Scanned at ×20, hematoxylin and eosin stain, 6 tiles cut from one stomach biopsy slide.
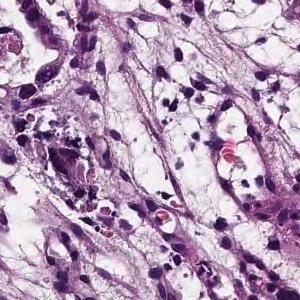
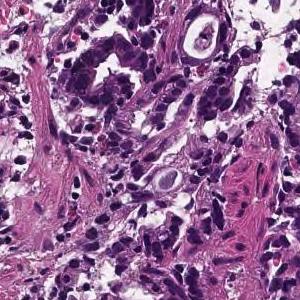
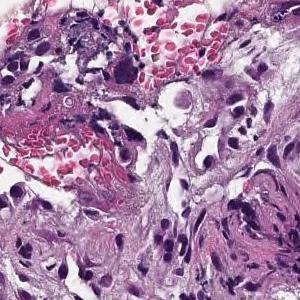
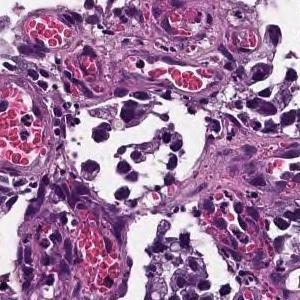
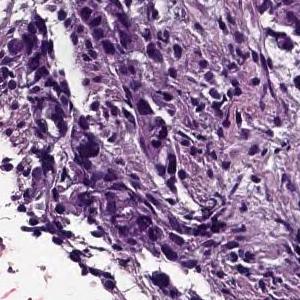
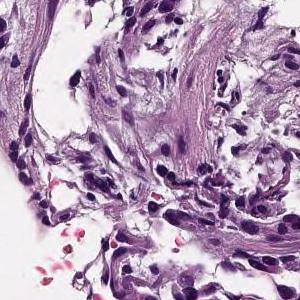
Pathology report for the slide these tiles were cut from. The findings and the diagnosis refer to the entire slide; these tiles show only part of it, possibly with non-tumor tissue, and may not show every feature named.
Medium to small, irregular glandular ducts are formed in the superficial epithelium, and in some cases, the glandular ducts are fused to show solid alveolar lesions and infiltrating tumor tissue is observed. Moderately to poorly differentiated adenocarcinoma.
